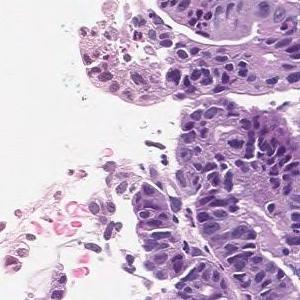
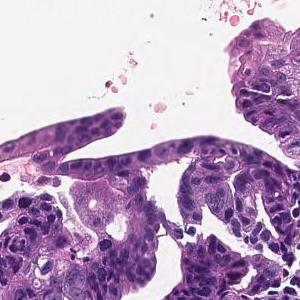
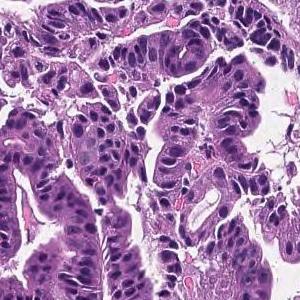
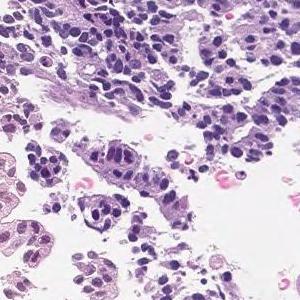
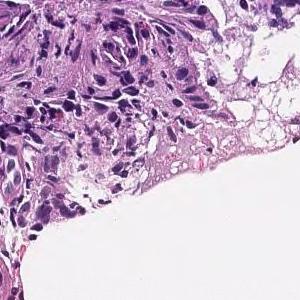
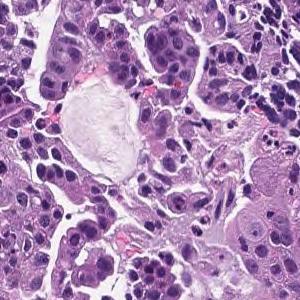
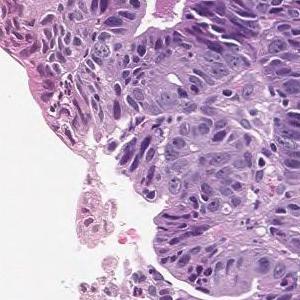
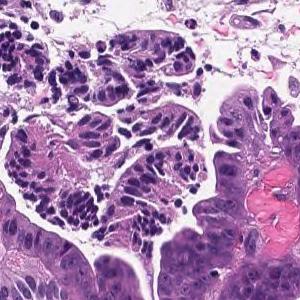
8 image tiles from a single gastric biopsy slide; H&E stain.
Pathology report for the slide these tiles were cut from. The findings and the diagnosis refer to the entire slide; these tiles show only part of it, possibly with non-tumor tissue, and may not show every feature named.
Tumor cells are large, highly columnar, large club-shaped nuclei, and are associated with chromatin aggregation. Papillary adenocarcinoma.
